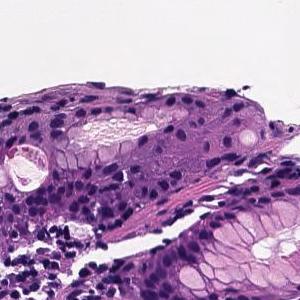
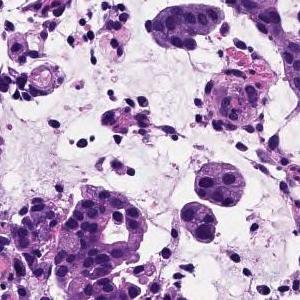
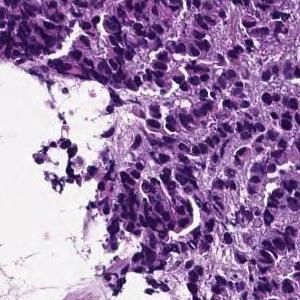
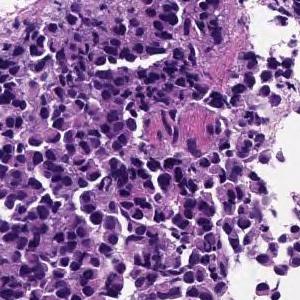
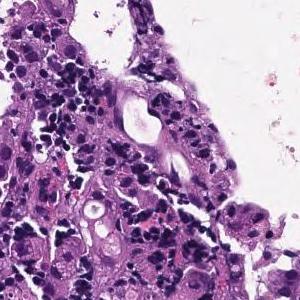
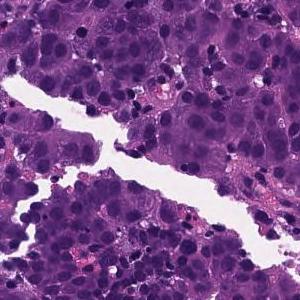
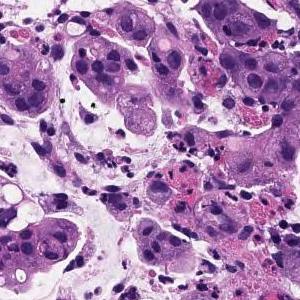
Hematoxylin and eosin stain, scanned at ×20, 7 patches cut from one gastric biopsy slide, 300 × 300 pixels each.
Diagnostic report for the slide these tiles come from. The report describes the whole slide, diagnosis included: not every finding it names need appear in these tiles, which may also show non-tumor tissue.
The superficial epithelium shows a large sheet-like shape, and some tumor tissue infiltrates with small irregular ducts. Poorly differentiated adenocarcinoma, solid-type
Histologic type: Poorly differentiated adenocarcinoma, solid type (Japanese Classification of Gastric Carcinoma). The WHO 2019 equivalent is tubular adenocarcinoma, poorly differentiated.
